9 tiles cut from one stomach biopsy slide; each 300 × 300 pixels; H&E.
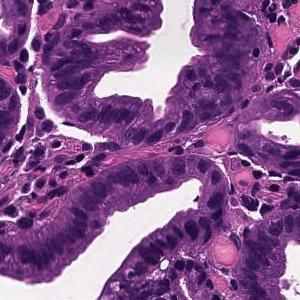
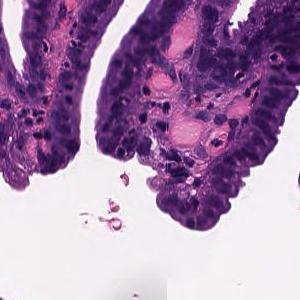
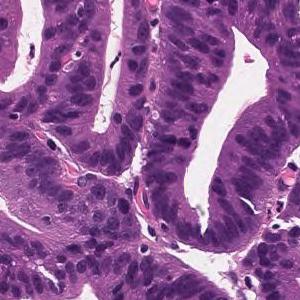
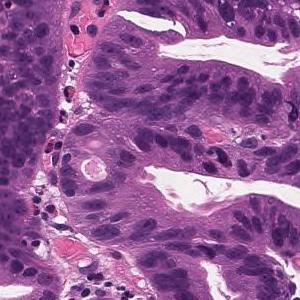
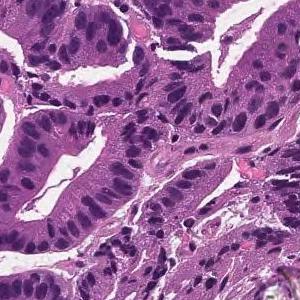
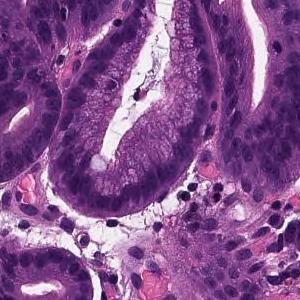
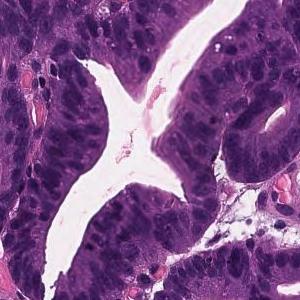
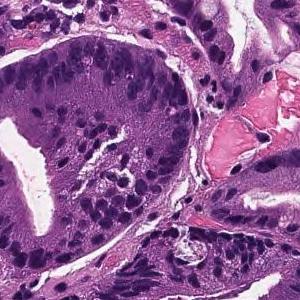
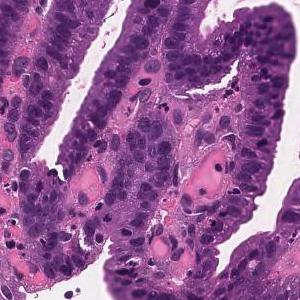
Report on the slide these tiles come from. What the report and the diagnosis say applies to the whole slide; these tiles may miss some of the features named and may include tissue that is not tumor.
Tumor cells are large, highly columnar, large club-shaped nuclei, and are associated with chromatin aggregation. Papillary adenocarcinoma.
